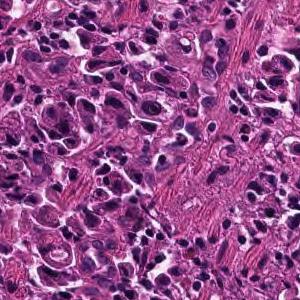
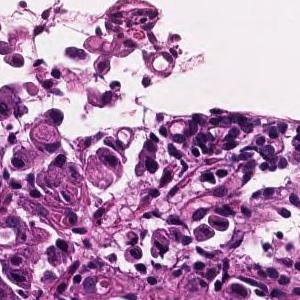
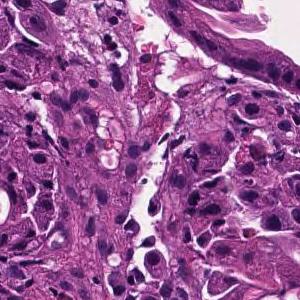
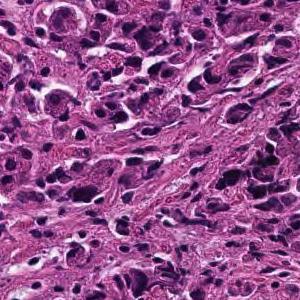
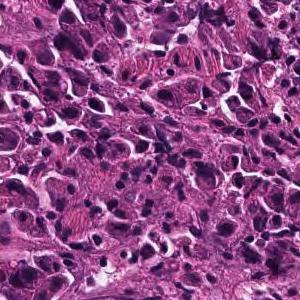
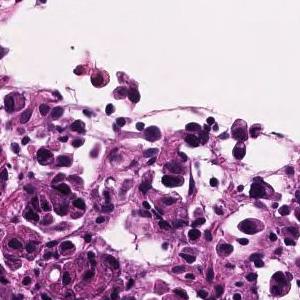
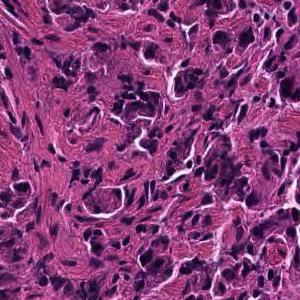
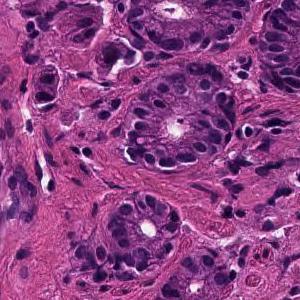
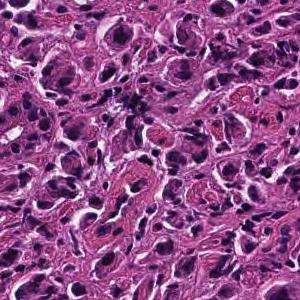
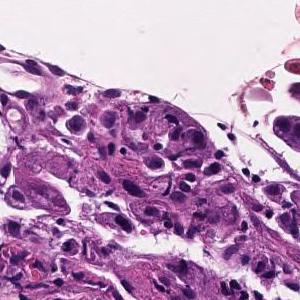
10 image tiles from a single gastric biopsy slide; scanned at ×20; H&E.
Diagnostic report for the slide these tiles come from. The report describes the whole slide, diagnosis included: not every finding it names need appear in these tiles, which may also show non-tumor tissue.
Tumor tissue consisting of cord-like or small, irregular glandular ducts fused and infiltrated is observed in the superficial epithelium. Poorly differentiated adenocarcinoma, non-solid type
The term "non-solid type" comes from the Japanese Classification of Gastric Carcinoma.
